7 image tiles from a single gastric biopsy slide; H&E stain.
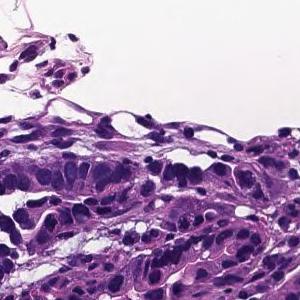
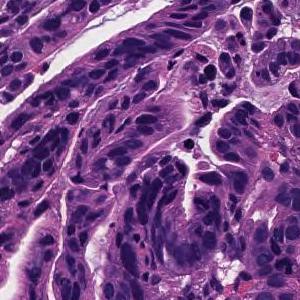
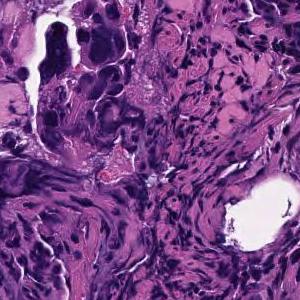
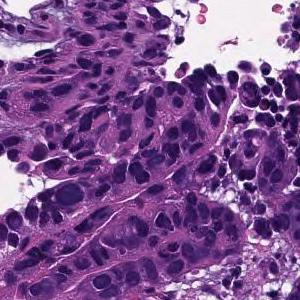
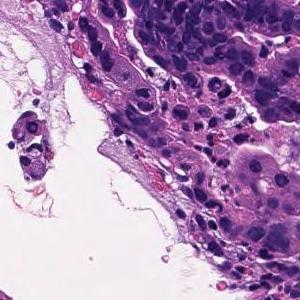
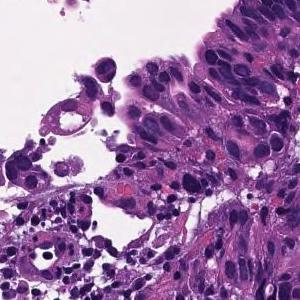
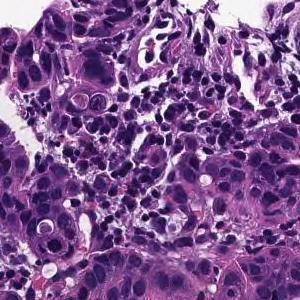
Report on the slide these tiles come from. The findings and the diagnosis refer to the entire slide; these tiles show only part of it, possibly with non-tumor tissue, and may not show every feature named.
Tumor tissue consisting of medium-sized, cord-like or irregular glandular infiltration is observed in the superficial epithelium. Poorly differentiated adenocarcinoma, non-solid type or moderately differentiated tubular adenocarcinoma
Tumor subtype: moderately to poorly differentiated adenocarcinoma.
"Non-solid type" is a category of the Japanese Classification of Gastric Carcinoma.
